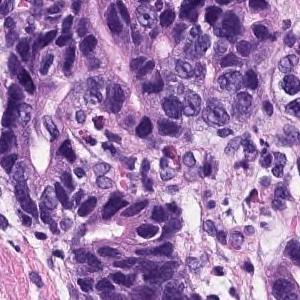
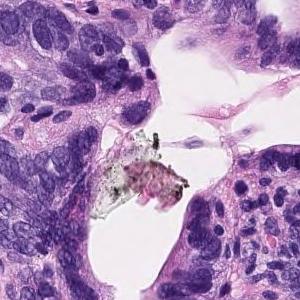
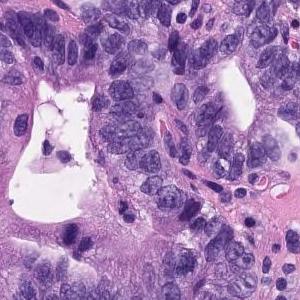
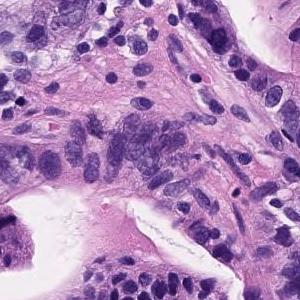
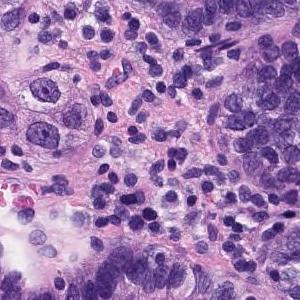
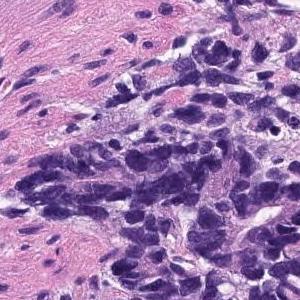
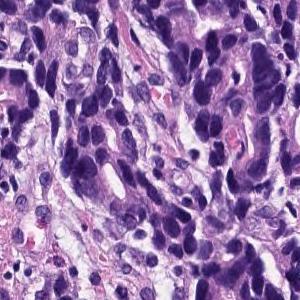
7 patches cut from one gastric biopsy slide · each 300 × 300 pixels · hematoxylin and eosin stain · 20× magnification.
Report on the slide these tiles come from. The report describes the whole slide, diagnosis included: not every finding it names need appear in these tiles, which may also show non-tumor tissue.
On the superficial epithelium, tumor tissue consisting of images showing invasive growth with small, irregular tubules partially fused is observed. moderately differentiated tubular adenocarcinoma
